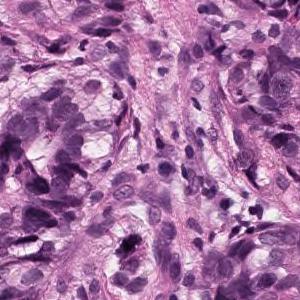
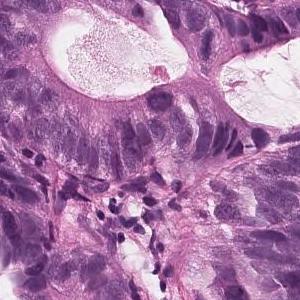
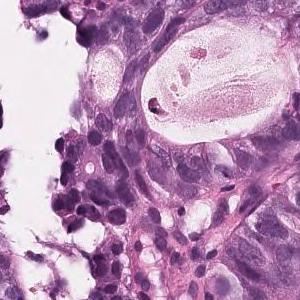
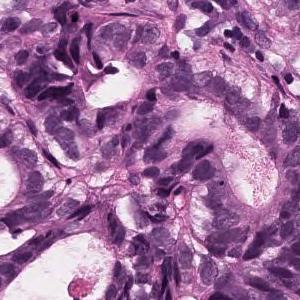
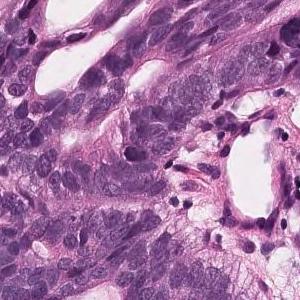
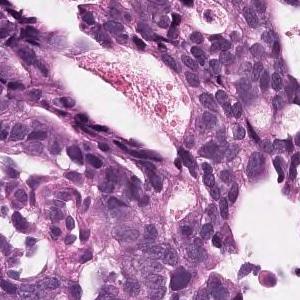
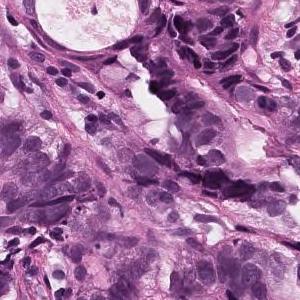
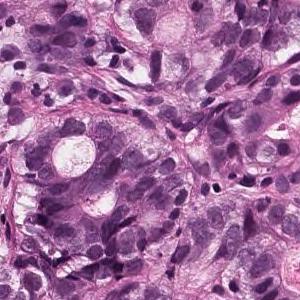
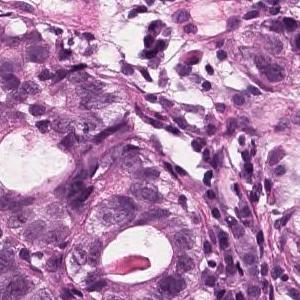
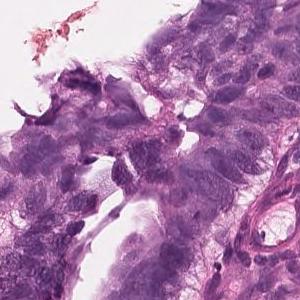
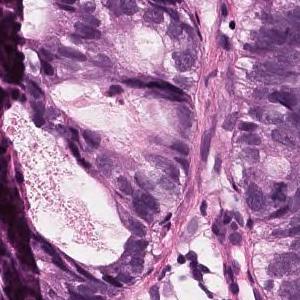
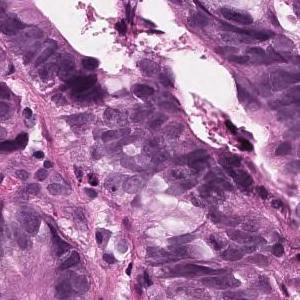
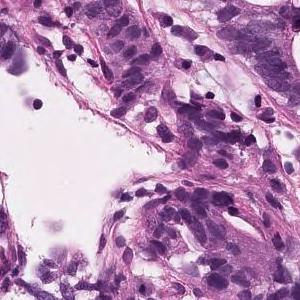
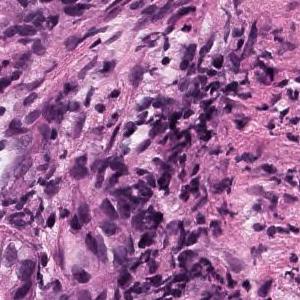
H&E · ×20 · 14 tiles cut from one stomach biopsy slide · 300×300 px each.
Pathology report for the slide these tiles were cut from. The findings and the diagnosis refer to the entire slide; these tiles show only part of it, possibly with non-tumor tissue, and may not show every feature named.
On the superficial epithelium, tumor tissue consisting of large, irregular glandular ducts partially fused and infiltrated is observed. Well to moderately differentiated tubular adenocarcinoma (well differentiated tubular adenocarcinoma, moderately differentiated tubular adenocarcinoma)
Classified as well to moderately differentiated tubular adenocarcinoma.
